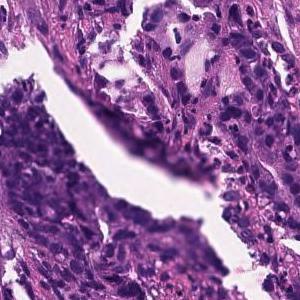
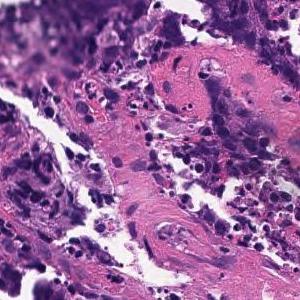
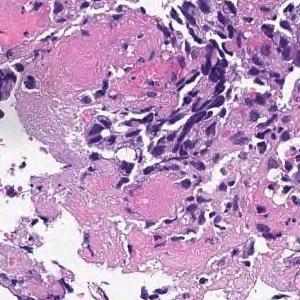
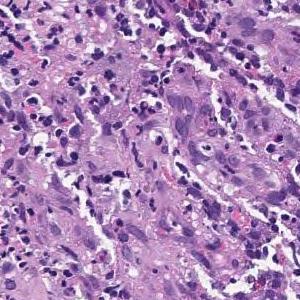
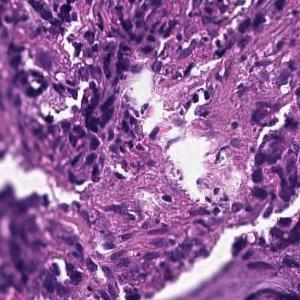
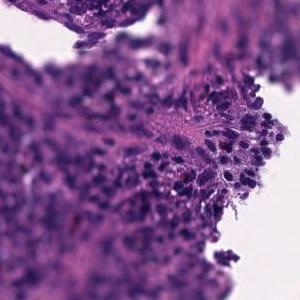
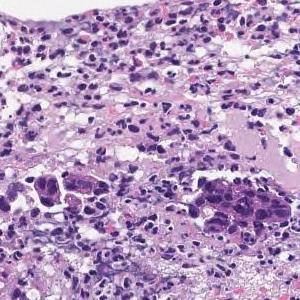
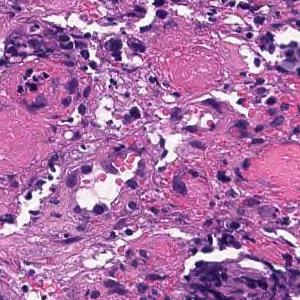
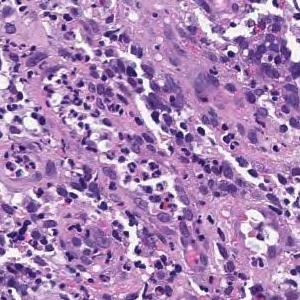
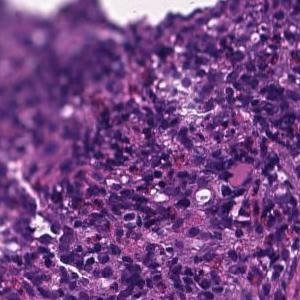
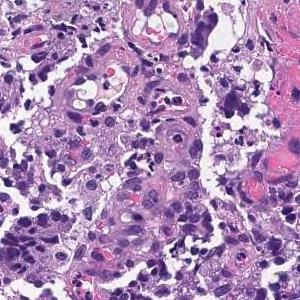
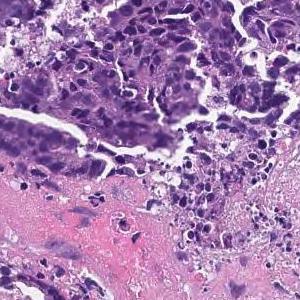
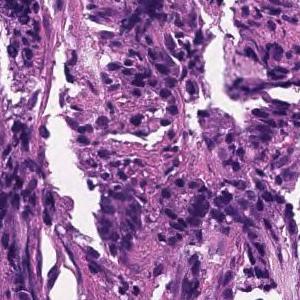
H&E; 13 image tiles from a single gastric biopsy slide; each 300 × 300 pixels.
Pathology report for the slide these tiles were cut from. Both the report and the diagnosis are for the whole slide: these tiles need not show every feature named, and some of the tissue shown may not be tumor.
On the superficial epithelium, tumor tissue consisting of large irregular glandular ducts partially fused and infiltrated is observed. Well to moderately differentiated tubular adenocarcinoma (well differentiated tubular adenocarcinoma, moderately differentiated tubular adenocarcinoma)
Tumor subtype: well to moderately differentiated tubular adenocarcinoma.
